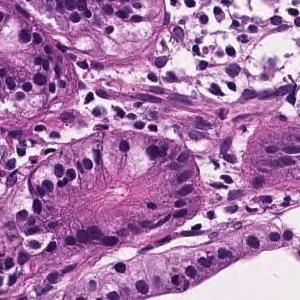
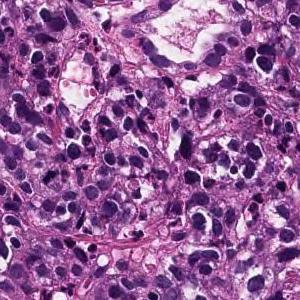
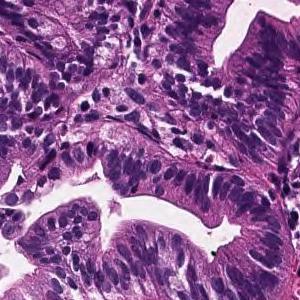
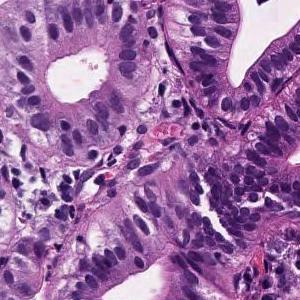
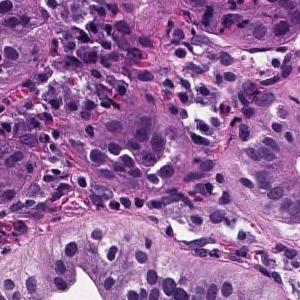
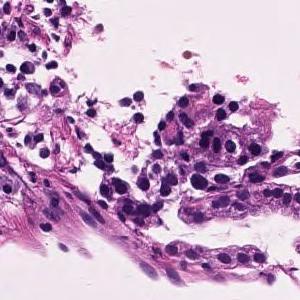
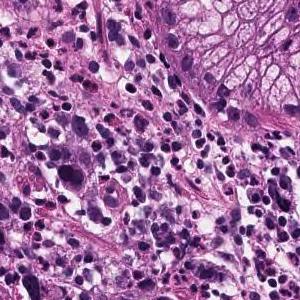
7 tiles cut from one stomach biopsy slide, hematoxylin and eosin stain, ×20.
Diagnostic report for the slide these tiles come from. The findings and the diagnosis refer to the entire slide; these tiles show only part of it, possibly with non-tumor tissue, and may not show every feature named.
In the superficial epithelium, tumor tissue that invades by forming medium-sized to small, irregular ducts is observed. moderately differentiated tubular adenocarcinoma.
